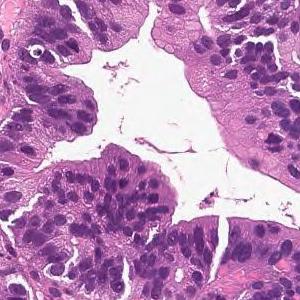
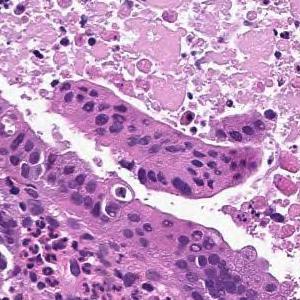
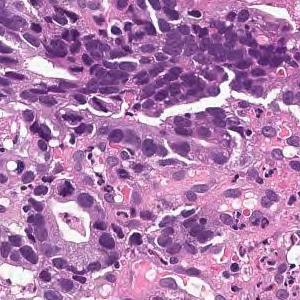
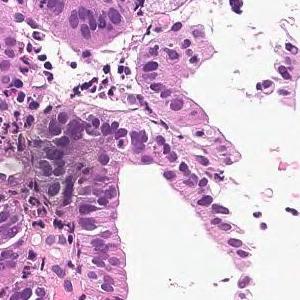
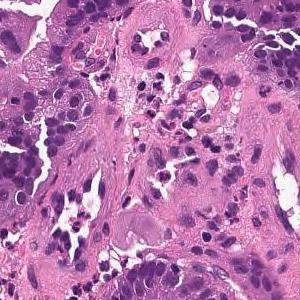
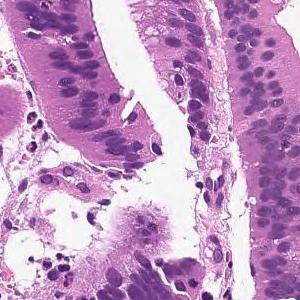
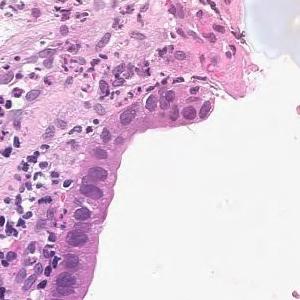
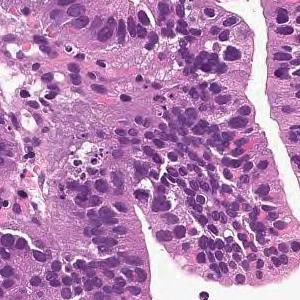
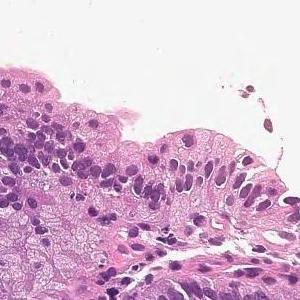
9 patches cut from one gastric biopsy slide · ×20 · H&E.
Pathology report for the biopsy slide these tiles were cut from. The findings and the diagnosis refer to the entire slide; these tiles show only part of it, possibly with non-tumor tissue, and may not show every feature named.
From the superficial epithelium to the muscularis mucosae, tumor tissue consisting of medium-sized and irregular glandular ducts infiltrating is observed. Well differentiated tubular adenocarcinoma
